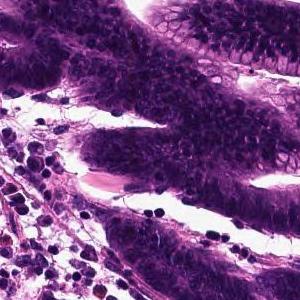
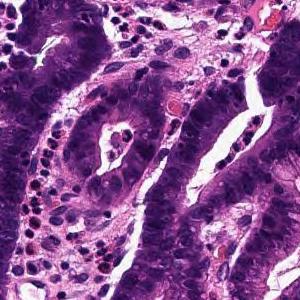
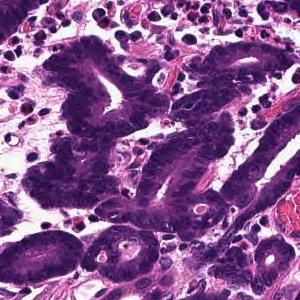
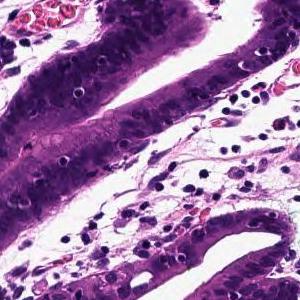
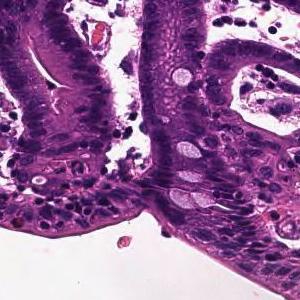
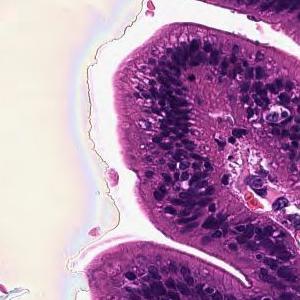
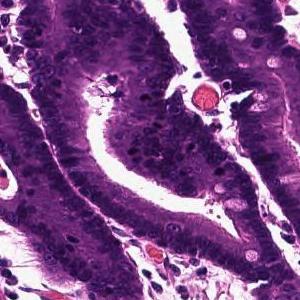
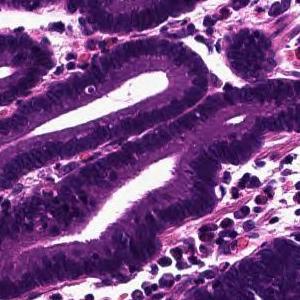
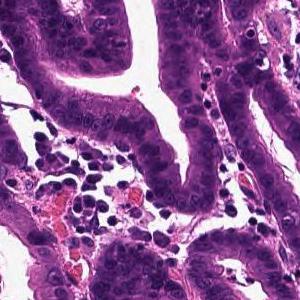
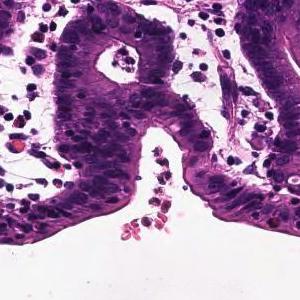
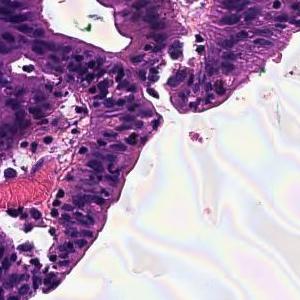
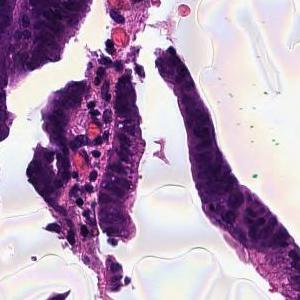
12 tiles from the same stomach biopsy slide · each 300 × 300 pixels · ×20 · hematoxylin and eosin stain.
Pathology report for the biopsy slide these tiles were cut from. The findings and the diagnosis refer to the entire slide; these tiles show only part of it, possibly with non-tumor tissue, and may not show every feature named.
Tumor tissue that infiltrates by forming large papillary or large irregular glandular ducts is observed confined to the mucosa. Papillary adenocarcinoma
